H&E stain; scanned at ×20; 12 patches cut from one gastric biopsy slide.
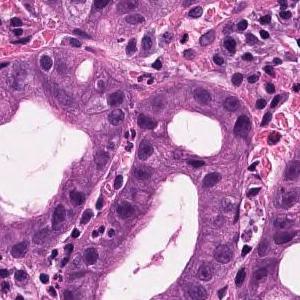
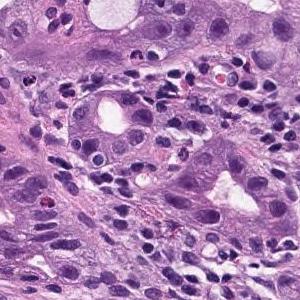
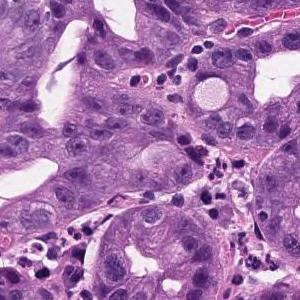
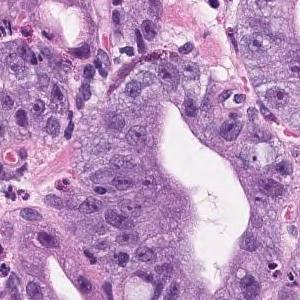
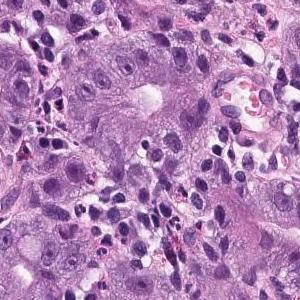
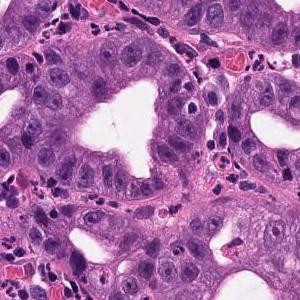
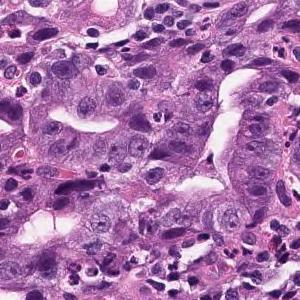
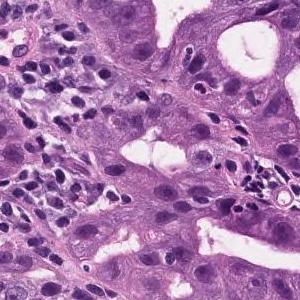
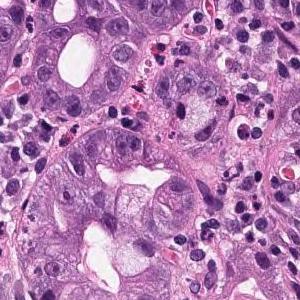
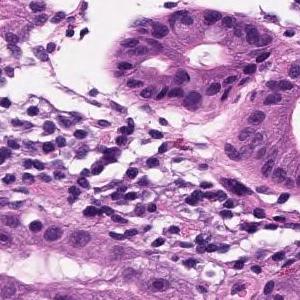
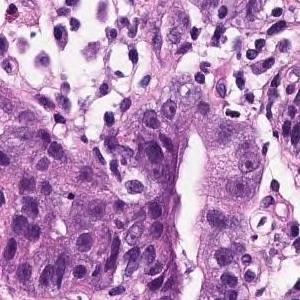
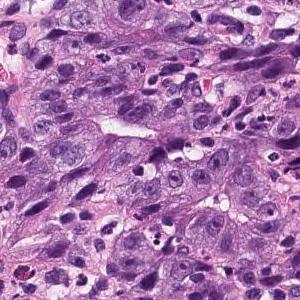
Pathology report for the slide these tiles were cut from. The report and the diagnosis describe the slide as a whole, so these tiles may not show every feature named and may include non-tumor tissue.
In the superficial epithelium, tumor tissue that invades by forming medium-sized to small, irregular ducts is observed. Well to moderately differentiated adenocarcinoma (well differentiated tubular adenocarcinoma, moderately differentiated tubular adenocarcinoma).
Tumor subtype: well to moderately differentiated tubular adenocarcinoma.
